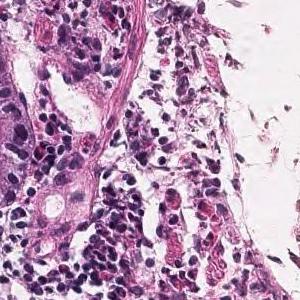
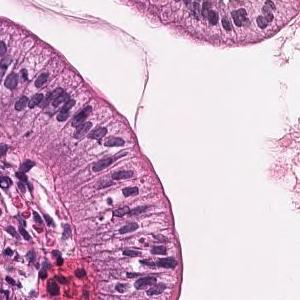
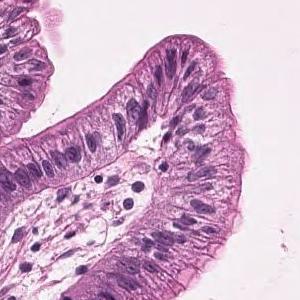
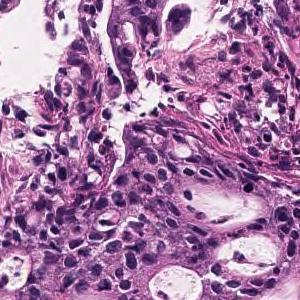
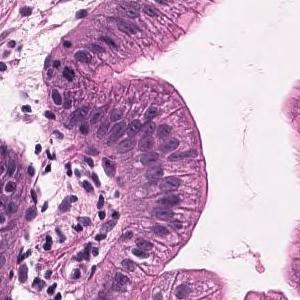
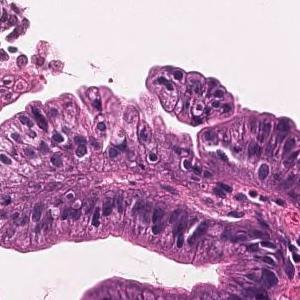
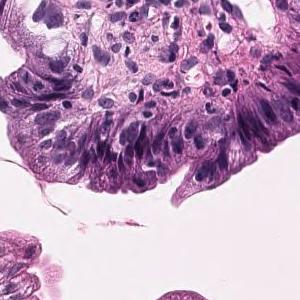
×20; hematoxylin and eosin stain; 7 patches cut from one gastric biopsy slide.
Pathology report for the biopsy slide these tiles were cut from. Both the report and the diagnosis are for the whole slide: these tiles need not show every feature named, and some of the tissue shown may not be tumor.
Tumor tissue that grows invasively while the short atypical epithelium forms small ducts is observed. moderately differentiated tubular adenocarcinoma
